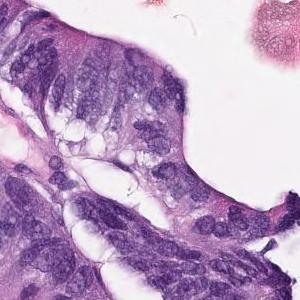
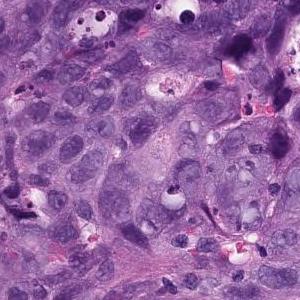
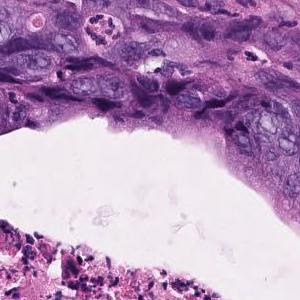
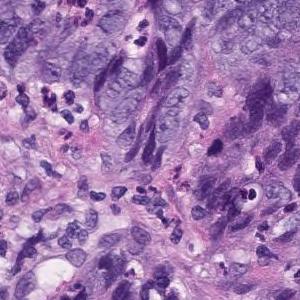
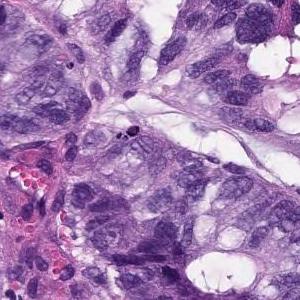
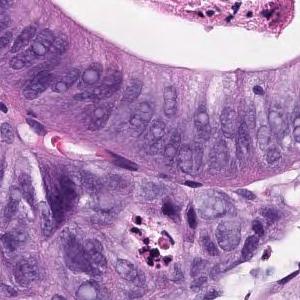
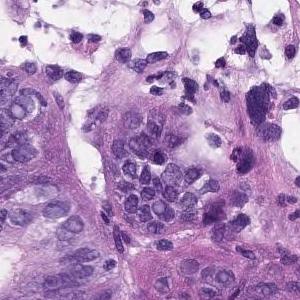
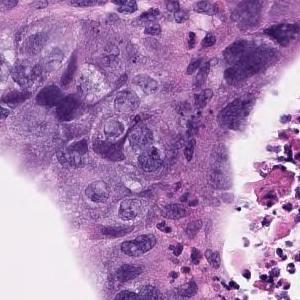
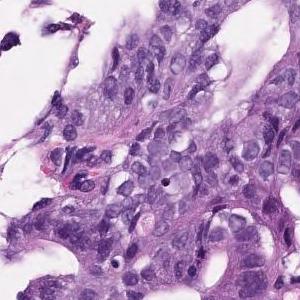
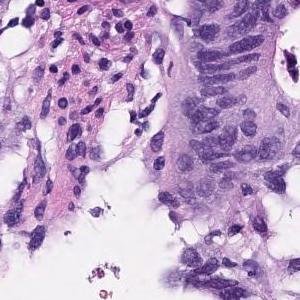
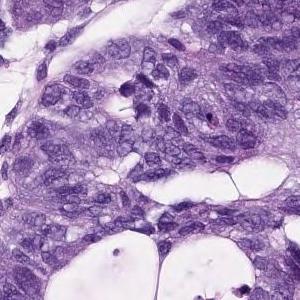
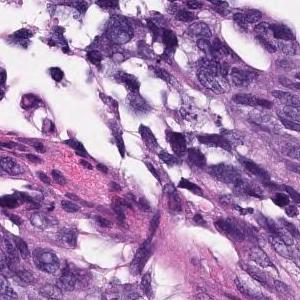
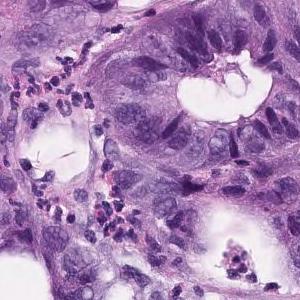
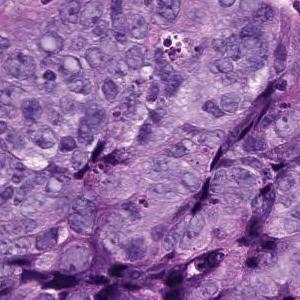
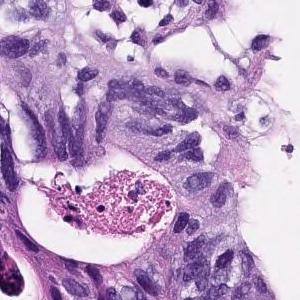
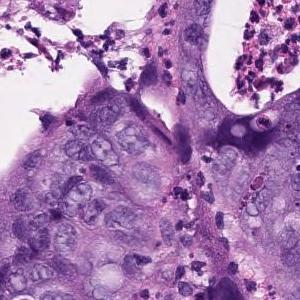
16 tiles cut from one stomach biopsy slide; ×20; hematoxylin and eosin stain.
Report on the slide these tiles come from. The report and the diagnosis describe the slide as a whole, so these tiles may not show every feature named and may include non-tumor tissue.
In the superficial epithelium, tumor tissue that invades by forming medium-sized to small, irregular ducts is observed. Moderately differentiated adenocarcinoma.
Histologic type: Moderately differentiated tubular adenocarcinoma.
